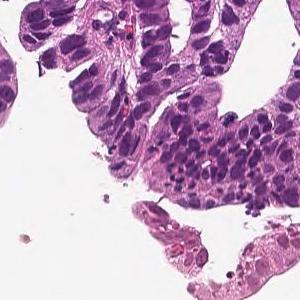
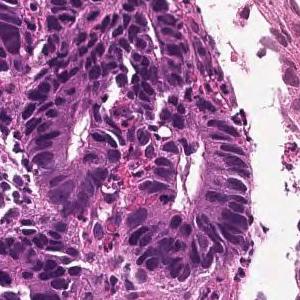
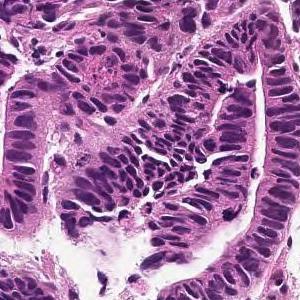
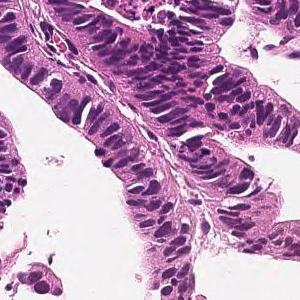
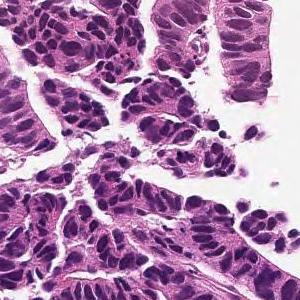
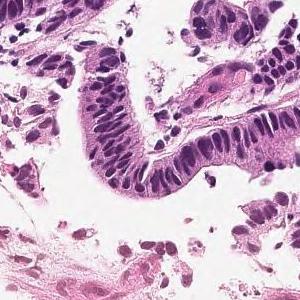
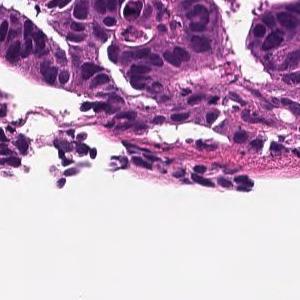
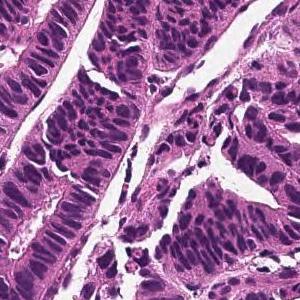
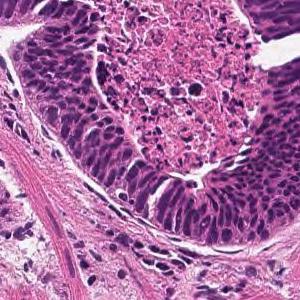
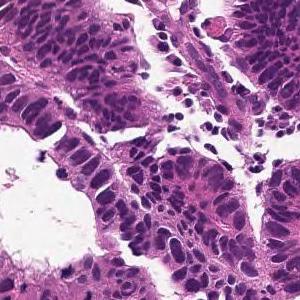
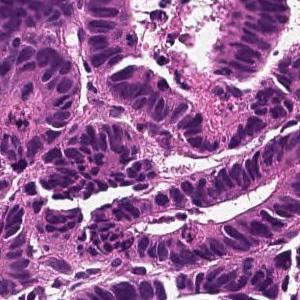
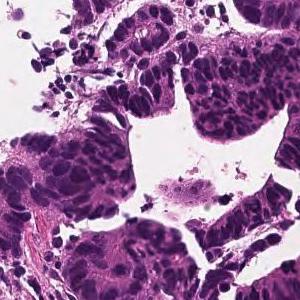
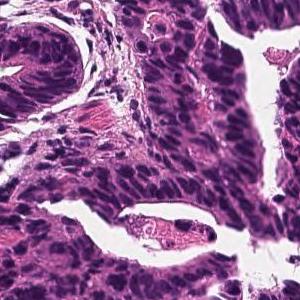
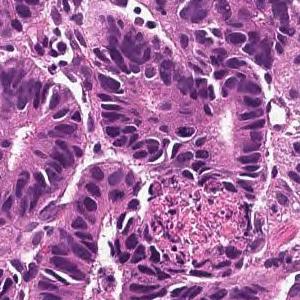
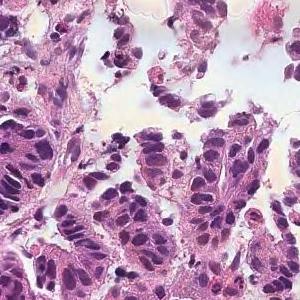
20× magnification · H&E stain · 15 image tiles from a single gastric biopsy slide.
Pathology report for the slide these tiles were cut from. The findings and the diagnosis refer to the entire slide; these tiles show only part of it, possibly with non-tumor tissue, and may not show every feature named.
From the superficial epithelium to the muscularis mucosae, tumor tissue consisting of medium-sized and irregular glandular ducts infiltrating is observed. Well differentiated tubular adenocarcinoma
